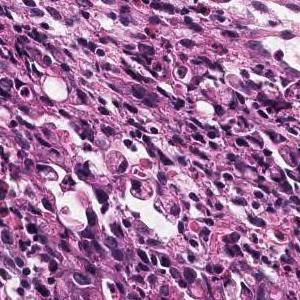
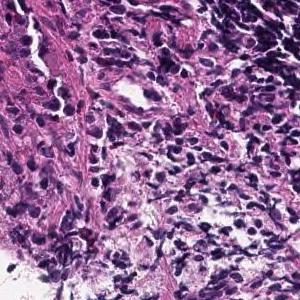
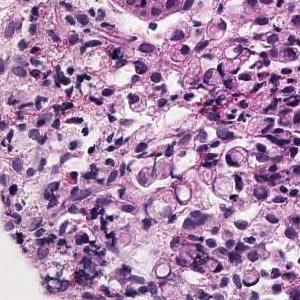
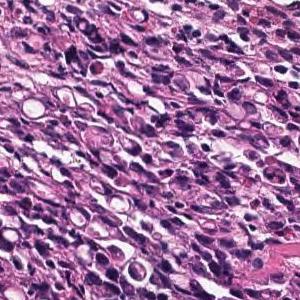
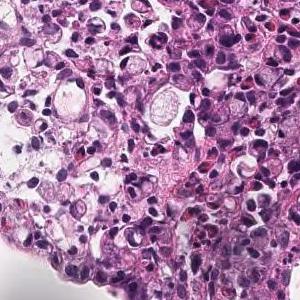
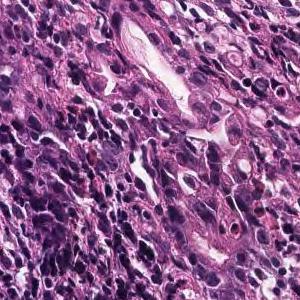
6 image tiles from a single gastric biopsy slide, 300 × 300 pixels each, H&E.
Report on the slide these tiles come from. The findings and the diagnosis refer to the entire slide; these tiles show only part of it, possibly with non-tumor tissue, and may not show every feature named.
Atypical epithelium with abundant mucus in the vesicles shows a solid growth without ductal construction. Signet ring cell carcinoma
